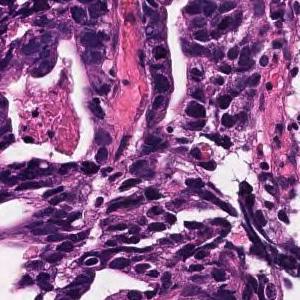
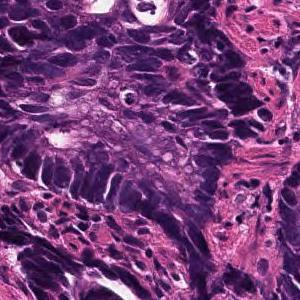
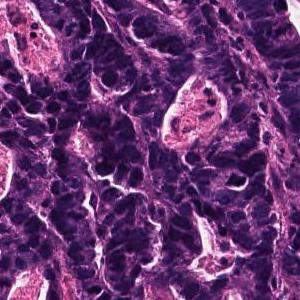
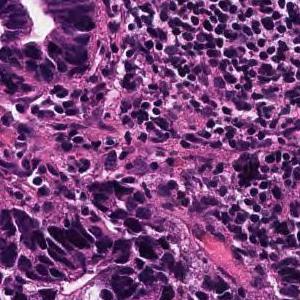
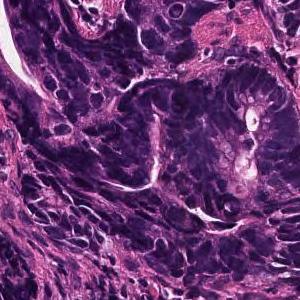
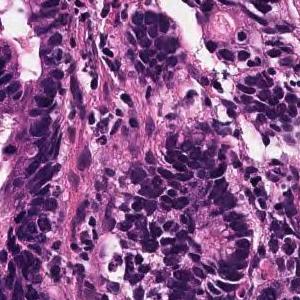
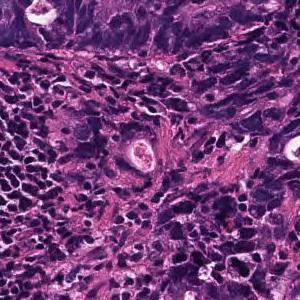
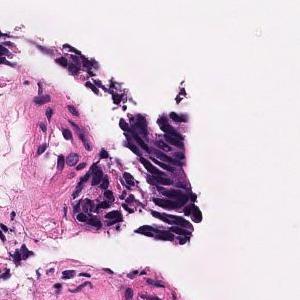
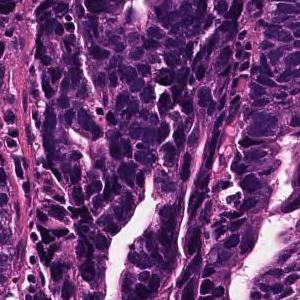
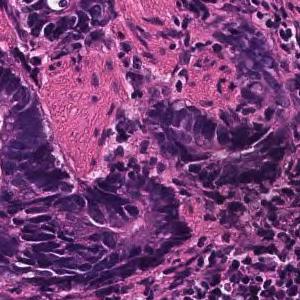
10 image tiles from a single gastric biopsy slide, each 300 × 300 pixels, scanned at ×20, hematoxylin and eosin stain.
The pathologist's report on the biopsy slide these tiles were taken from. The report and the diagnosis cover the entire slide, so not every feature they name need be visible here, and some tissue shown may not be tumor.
Large and small irregular small glandular ducts forming and infiltrating. moderately differentiated tubular adenocarcinoma
